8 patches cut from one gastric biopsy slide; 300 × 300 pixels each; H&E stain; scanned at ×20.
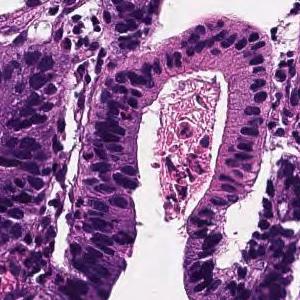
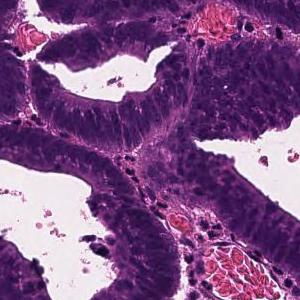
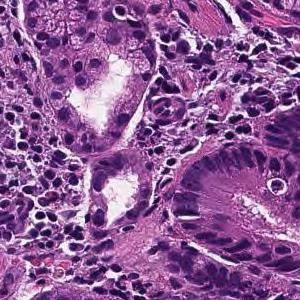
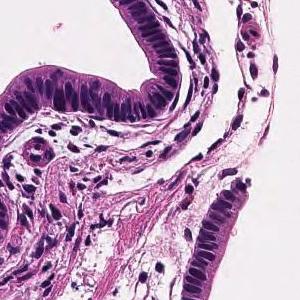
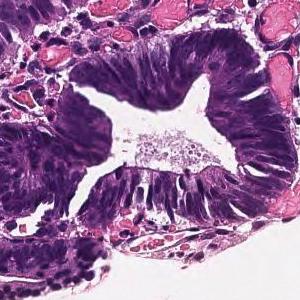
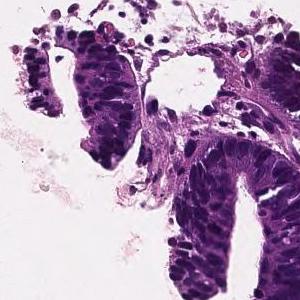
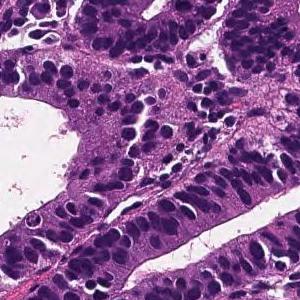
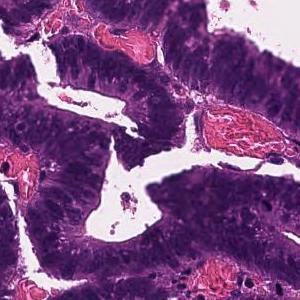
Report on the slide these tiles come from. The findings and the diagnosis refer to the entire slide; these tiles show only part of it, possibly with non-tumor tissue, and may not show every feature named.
Tumor tissue consisting of large papillary structures is found in the superficial epithelium. Papillary adenocarcinoma.
